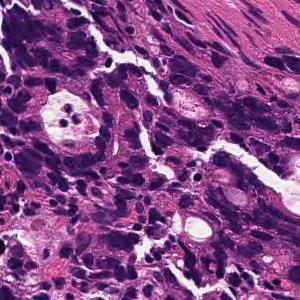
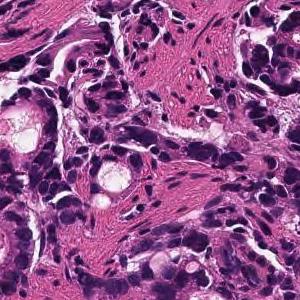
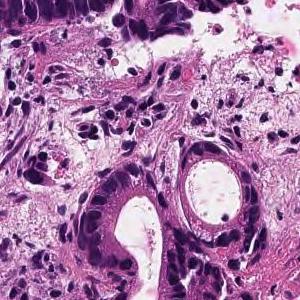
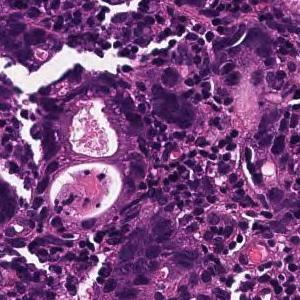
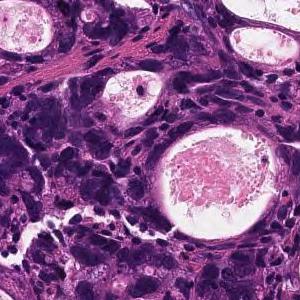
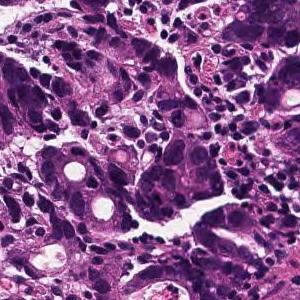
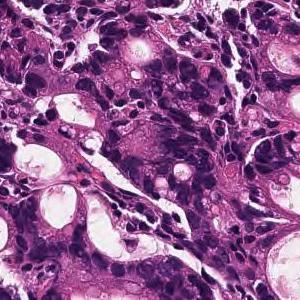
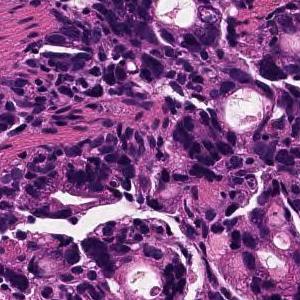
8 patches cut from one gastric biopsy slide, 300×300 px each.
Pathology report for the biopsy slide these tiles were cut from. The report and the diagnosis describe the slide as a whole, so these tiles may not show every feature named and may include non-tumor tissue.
In the superficial epithelium, tumor tissue that invades by forming medium-sized to small, irregular ducts is observed. moderately differentiated tubular adenocarcinoma.
